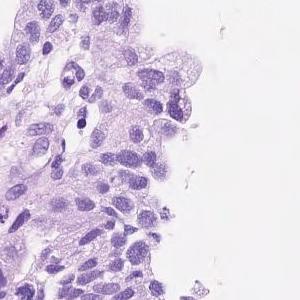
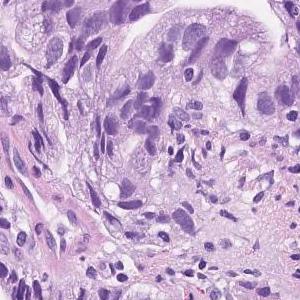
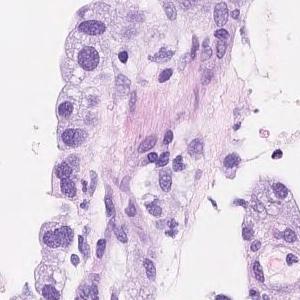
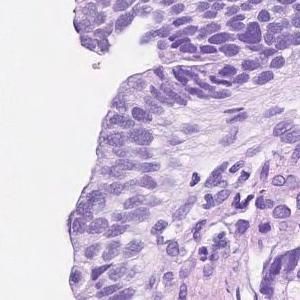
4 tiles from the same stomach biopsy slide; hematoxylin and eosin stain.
Diagnostic report for the slide these tiles come from. The report describes the whole slide, diagnosis included: not every finding it names need appear in these tiles, which may also show non-tumor tissue.
Atypical l cells with atypical nuclei forming solid or diffuse vesicles or small irregular atypical ducts and growing in a complex manner. moderately differentiated tubular adenocarcinoma
